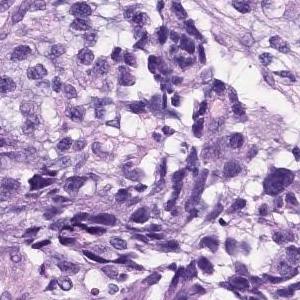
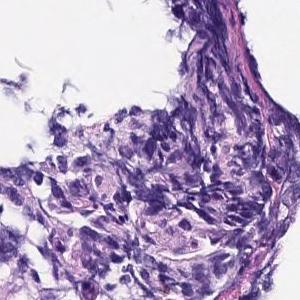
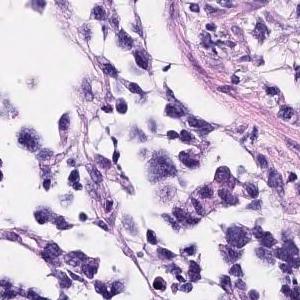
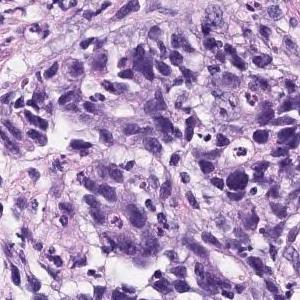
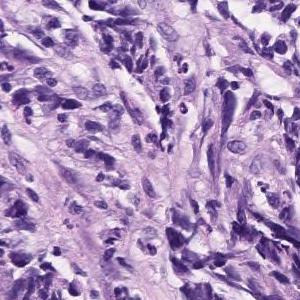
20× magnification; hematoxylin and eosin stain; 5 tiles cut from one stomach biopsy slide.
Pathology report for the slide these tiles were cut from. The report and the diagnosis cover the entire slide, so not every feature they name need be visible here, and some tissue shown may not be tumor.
The superficial epithelium shows a large sheet-like shape, and some tumor tissue infiltrates with small irregular ducts. Poorly differentiated adenocarcinoma, solid-type
Tumor subtype: poorly differentiated adenocarcinoma, solid type, a category of the Japanese Classification of Gastric Carcinoma; in the WHO 2019 classification it is tubular adenocarcinoma, poorly differentiated.
